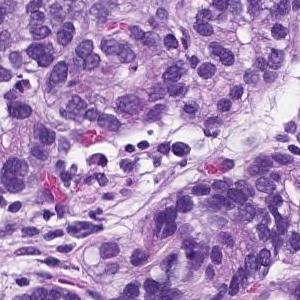
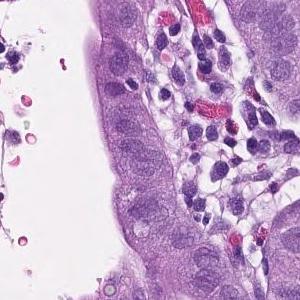
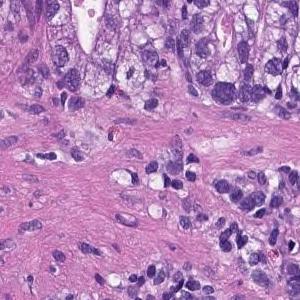
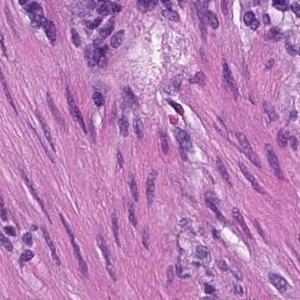
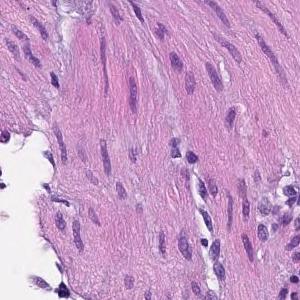
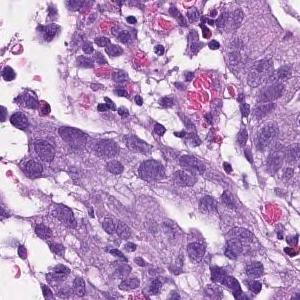
H&E stain; 6 image tiles from a single gastric biopsy slide; each 300 × 300 pixels.
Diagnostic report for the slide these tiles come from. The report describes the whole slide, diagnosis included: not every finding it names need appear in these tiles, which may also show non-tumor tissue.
From the superficial epithelium to the muscularis mucosae, tumor tissue consisting of medium-sized and irregular glandular ducts infiltrating is observed. Well differentiated tubular adenocarcinoma
